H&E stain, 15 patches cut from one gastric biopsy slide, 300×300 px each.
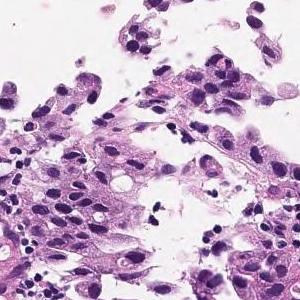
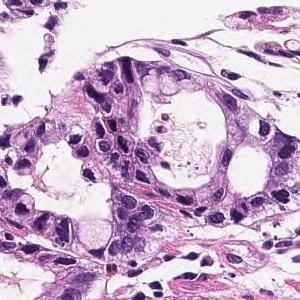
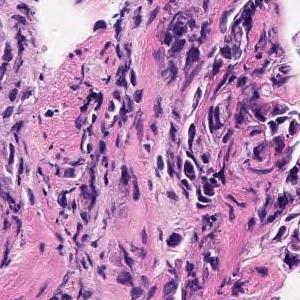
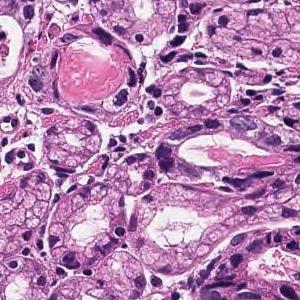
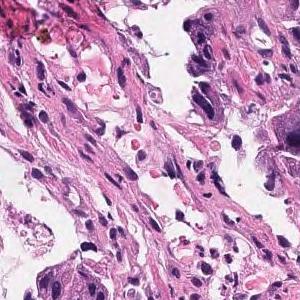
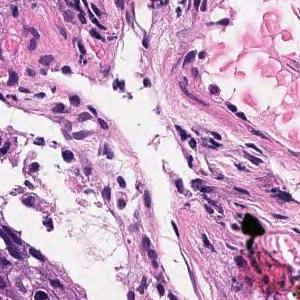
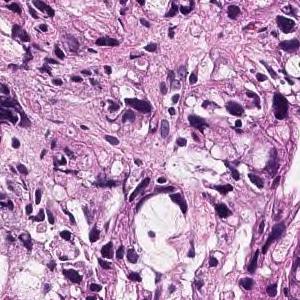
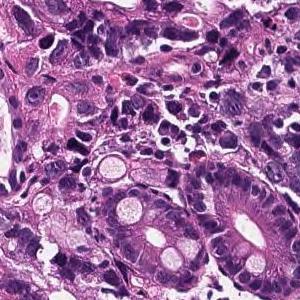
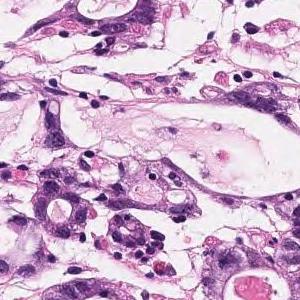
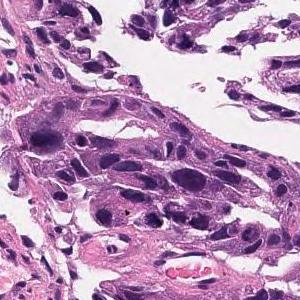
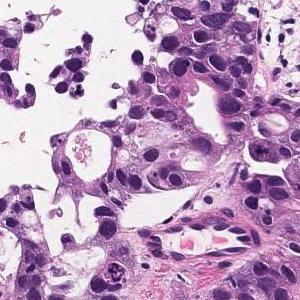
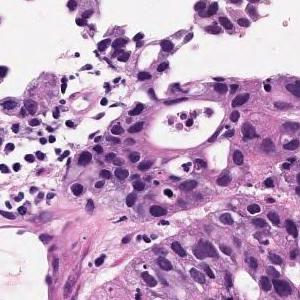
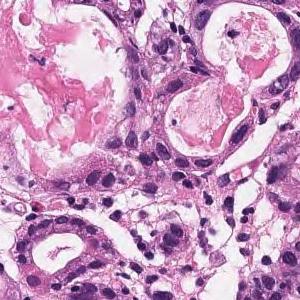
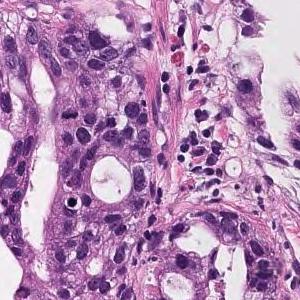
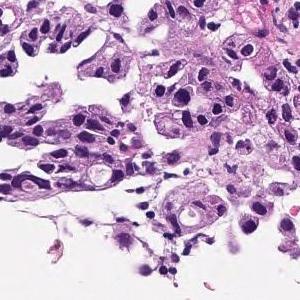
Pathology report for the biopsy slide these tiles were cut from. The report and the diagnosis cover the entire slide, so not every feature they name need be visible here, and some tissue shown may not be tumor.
In the superficial epithelium, tumor tissue that invades by forming medium-sized to small, irregular ducts is observed. Moderately differentiated adenocarcinoma.
Histological subtype: Moderately differentiated tubular adenocarcinoma.
